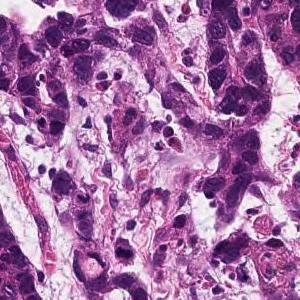
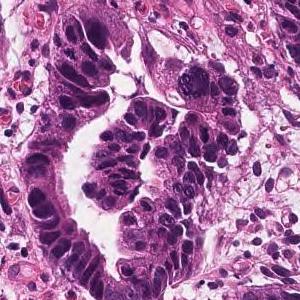
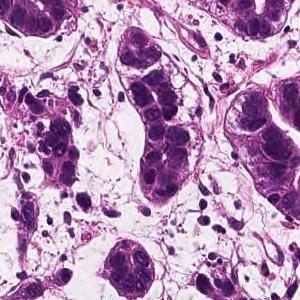
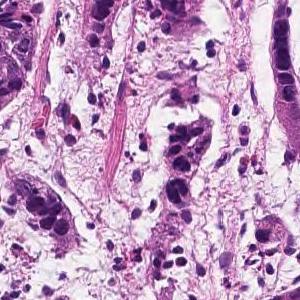
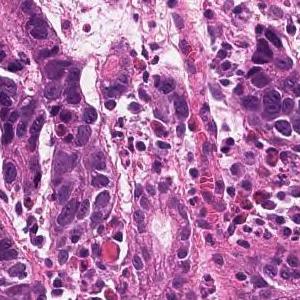
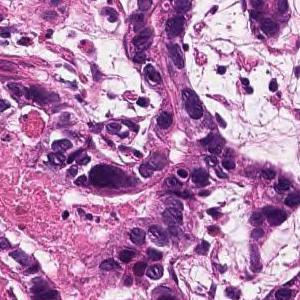
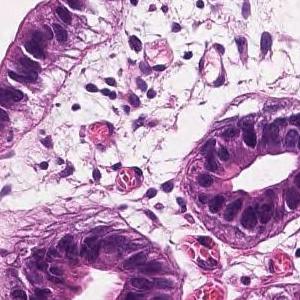
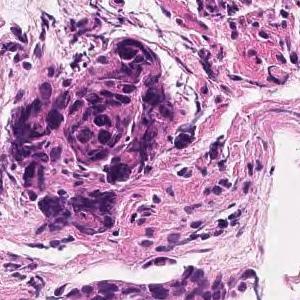
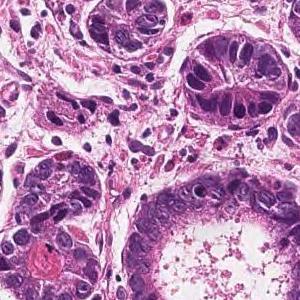
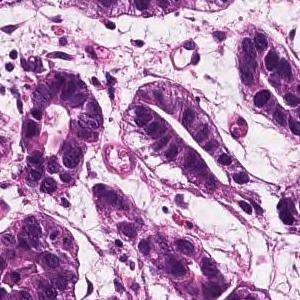
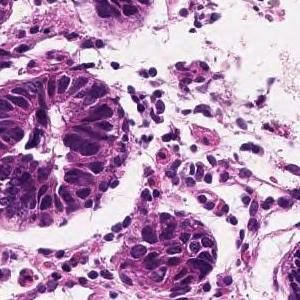
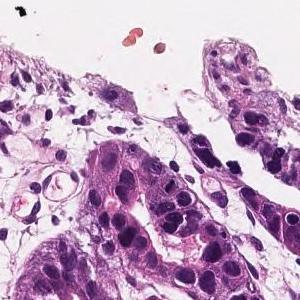
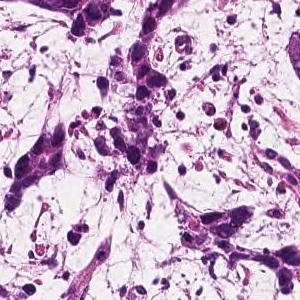
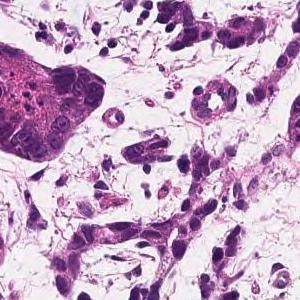
Hematoxylin and eosin stain; 14 image tiles from a single gastric biopsy slide.
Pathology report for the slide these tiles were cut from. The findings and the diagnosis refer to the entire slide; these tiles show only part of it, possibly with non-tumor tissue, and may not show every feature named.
In the superficial epithelium, tumor tissue that invades by forming medium-sized to small, irregular ducts is observed. Well differentiated tubular adenocarcinoma.
